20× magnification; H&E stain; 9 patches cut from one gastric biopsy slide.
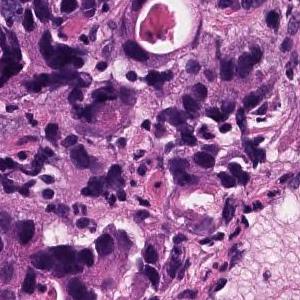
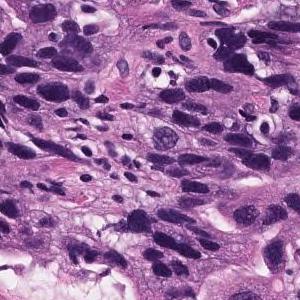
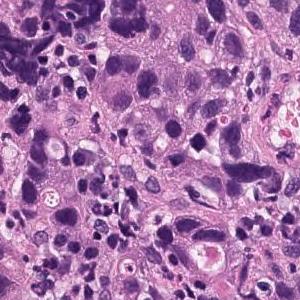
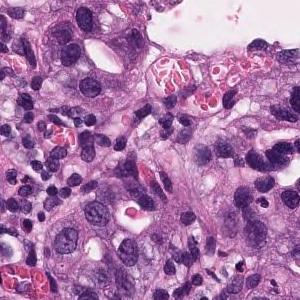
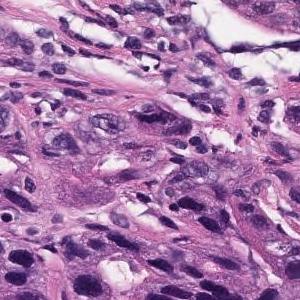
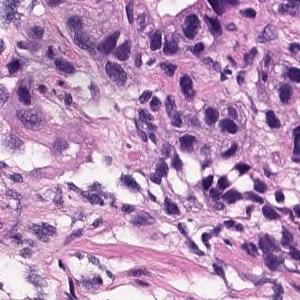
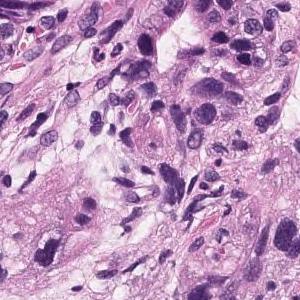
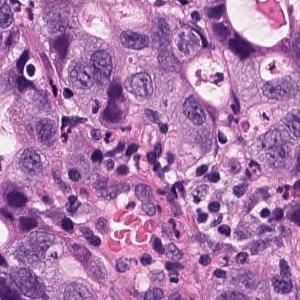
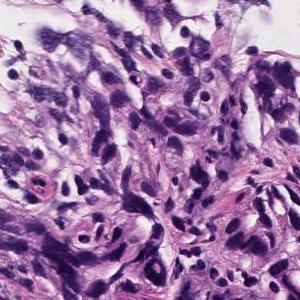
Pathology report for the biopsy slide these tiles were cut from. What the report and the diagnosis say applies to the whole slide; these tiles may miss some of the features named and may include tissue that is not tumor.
In the superficial epithelium, tumor tissue that invades by forming medium-sized to small, irregular ducts is observed. Moderately differentiated adenocarcinoma.
Tumor subtype: moderately differentiated tubular adenocarcinoma.
